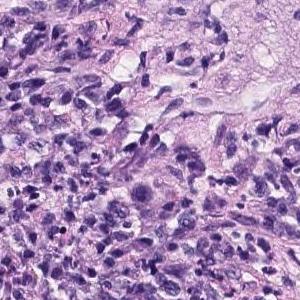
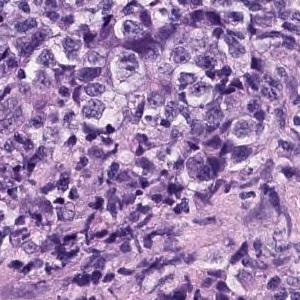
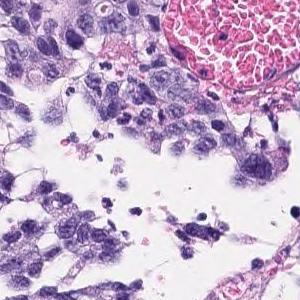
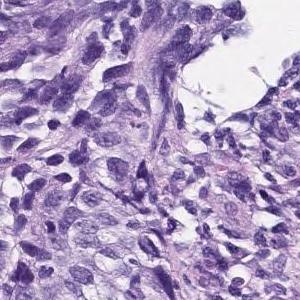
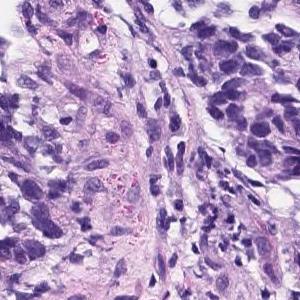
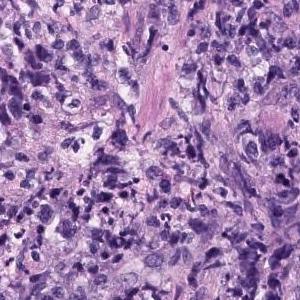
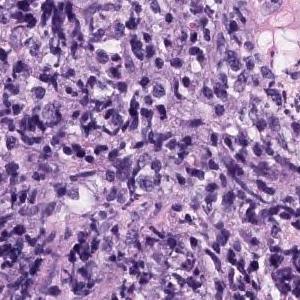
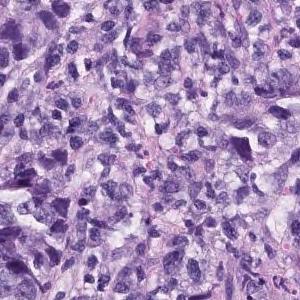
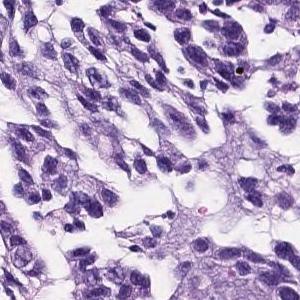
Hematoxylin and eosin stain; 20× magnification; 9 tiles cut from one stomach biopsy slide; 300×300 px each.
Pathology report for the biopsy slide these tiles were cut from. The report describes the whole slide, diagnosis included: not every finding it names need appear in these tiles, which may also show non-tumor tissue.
The superficial epithelium shows a large sheet-like shape, and some tumor tissue infiltrates with small irregular ducts. Poorly differentiated adenocarcinoma, solid-type
Tumor subtype: poorly differentiated adenocarcinoma, solid type, a category of the Japanese Classification of Gastric Carcinoma; in the WHO 2019 classification it is tubular adenocarcinoma, poorly differentiated.
